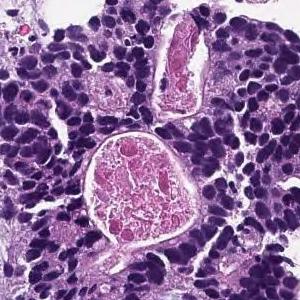
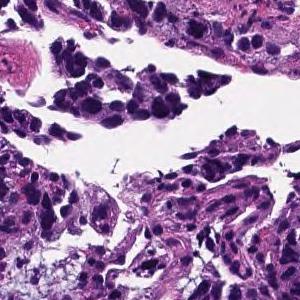
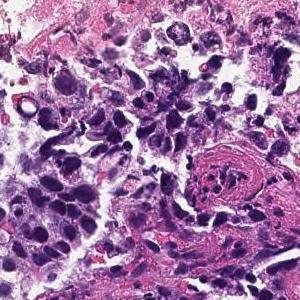
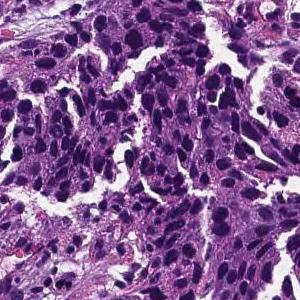
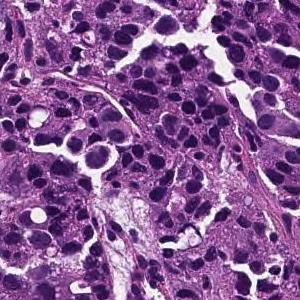
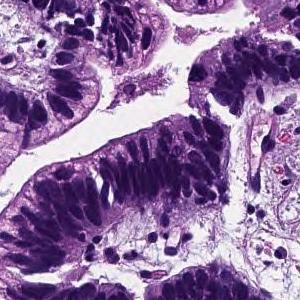
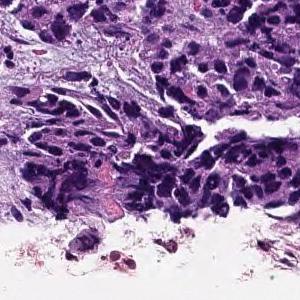
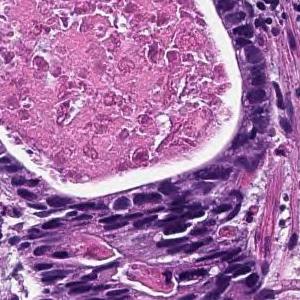
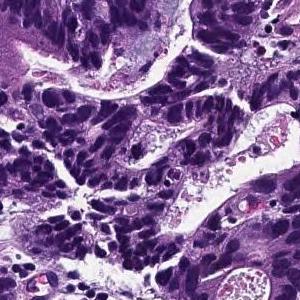
H&E, 9 patches cut from one gastric biopsy slide.
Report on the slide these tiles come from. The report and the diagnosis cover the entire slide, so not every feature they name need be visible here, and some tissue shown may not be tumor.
From the superficial epithelium to the muscularis mucosae, tumor tissue consisting of medium-sized and irregular glandular ducts infiltrating is observed. Well differentiated tubular adenocarcinoma
